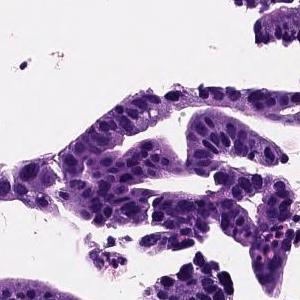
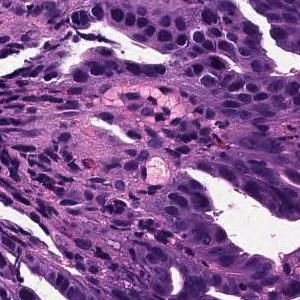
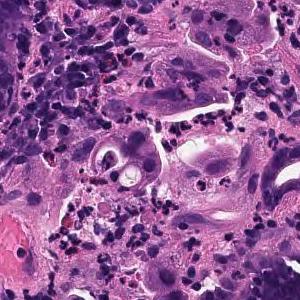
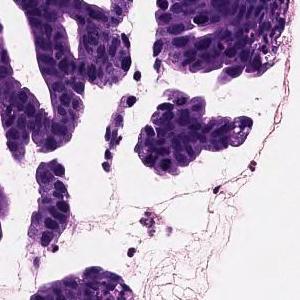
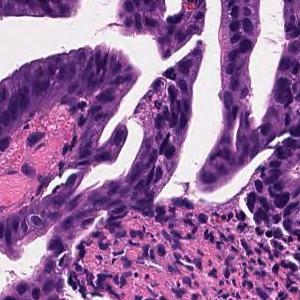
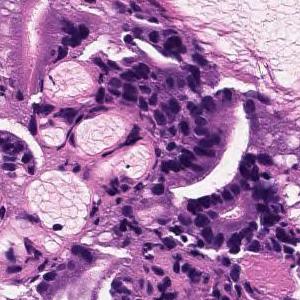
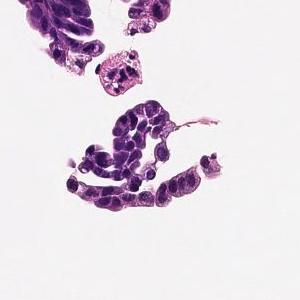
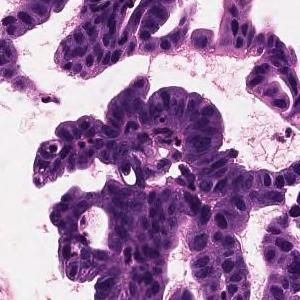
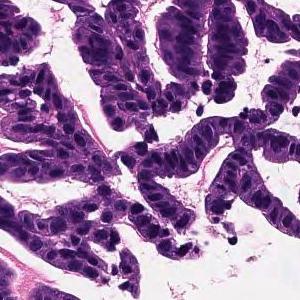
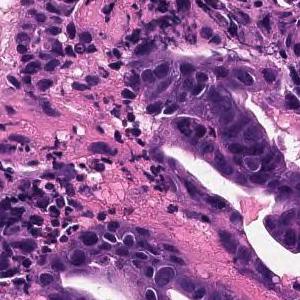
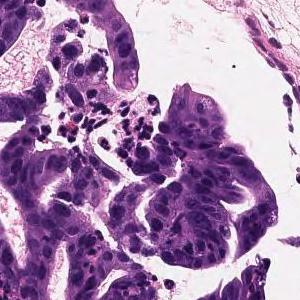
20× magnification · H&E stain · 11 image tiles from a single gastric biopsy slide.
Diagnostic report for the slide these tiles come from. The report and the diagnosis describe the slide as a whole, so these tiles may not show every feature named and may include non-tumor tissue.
Tumor cells are large, highly columnar, large club-shaped nuclei, and are associated with chromatin aggregation. Papillary adenocarcinoma.
